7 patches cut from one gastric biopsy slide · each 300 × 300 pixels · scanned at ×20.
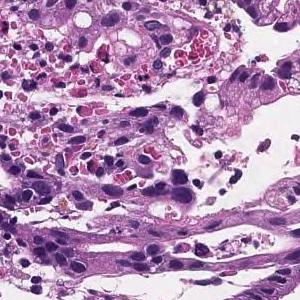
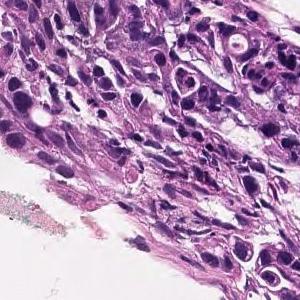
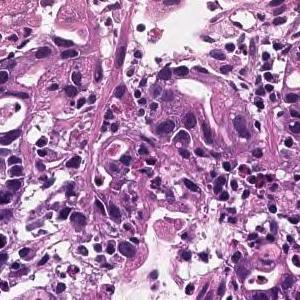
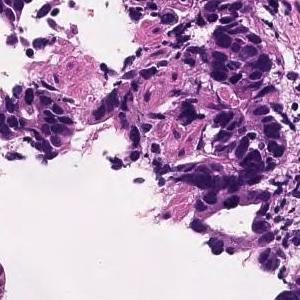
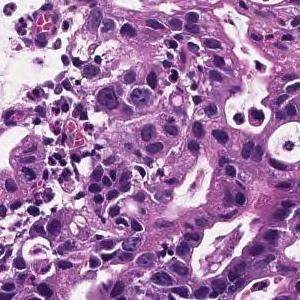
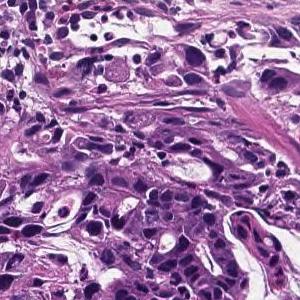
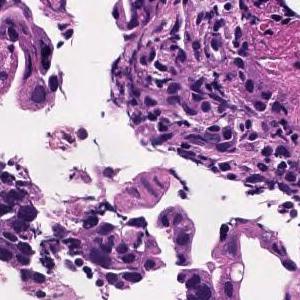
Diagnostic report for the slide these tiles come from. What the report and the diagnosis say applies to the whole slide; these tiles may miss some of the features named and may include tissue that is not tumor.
In the superficial epithelium, tumor tissue that invades by forming medium-sized to small, irregular ducts is observed. moderately differentiated tubular adenocarcinoma.
